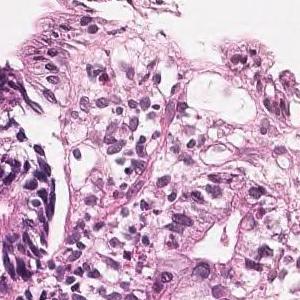
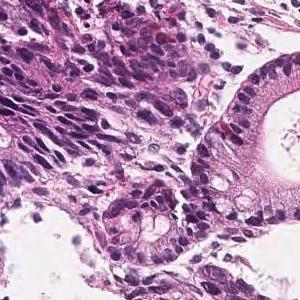
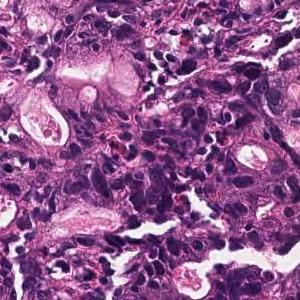
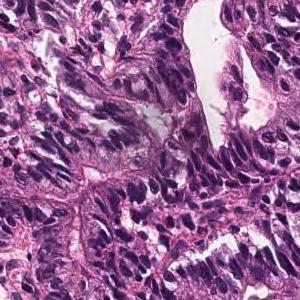
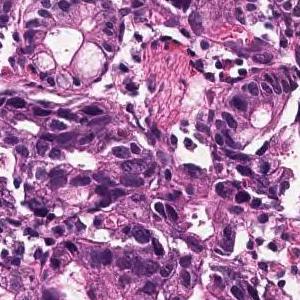
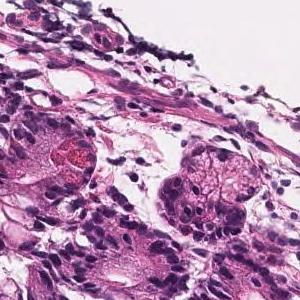
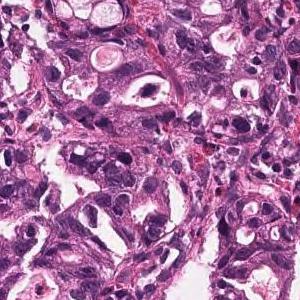
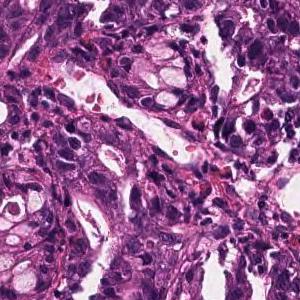
8 tiles from the same stomach biopsy slide · 300 × 300 pixels each · ×20 · H&E.
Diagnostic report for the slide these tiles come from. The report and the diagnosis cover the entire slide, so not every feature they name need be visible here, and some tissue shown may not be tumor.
On the superficial epithelium, tumor tissue consisting of large, irregular glandular ducts partially fused and infiltrated is observed. Well to moderately differentiated tubular adenocarcinoma (well differentiated tubular adenocarcinoma, moderately differentiated tubular adenocarcinoma)
Histological subtype: Well to moderately differentiated tubular adenocarcinoma.
